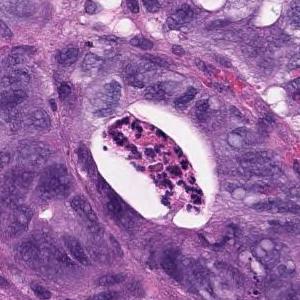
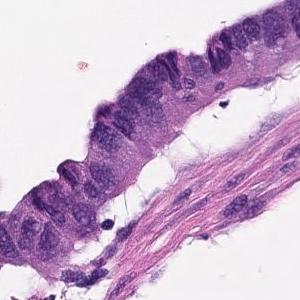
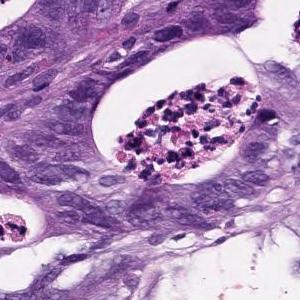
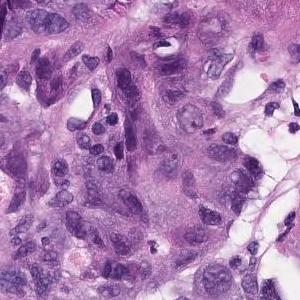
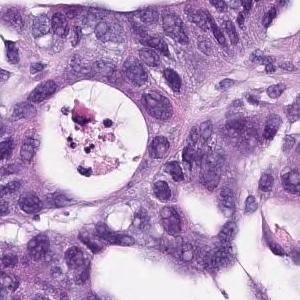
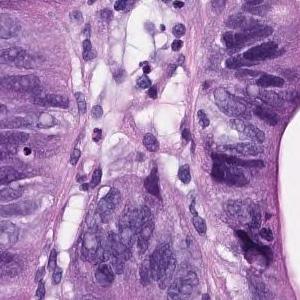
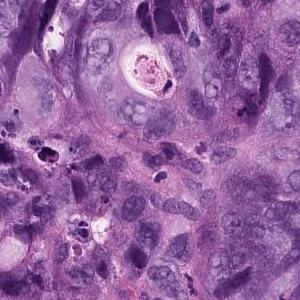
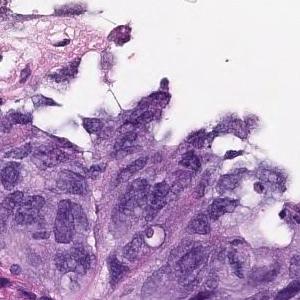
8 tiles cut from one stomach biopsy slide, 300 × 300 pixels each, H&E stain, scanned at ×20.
Diagnostic report for the slide these tiles come from. The report describes the whole slide, diagnosis included: not every finding it names need appear in these tiles, which may also show non-tumor tissue.
In the superficial epithelium, tumor tissue that invades by forming medium-sized to small, irregular ducts is observed. Moderately differentiated adenocarcinoma.
Histological subtype: Moderately differentiated tubular adenocarcinoma.
